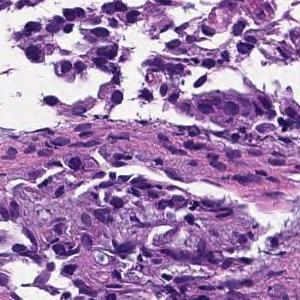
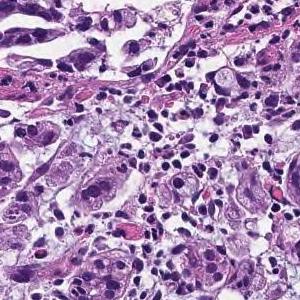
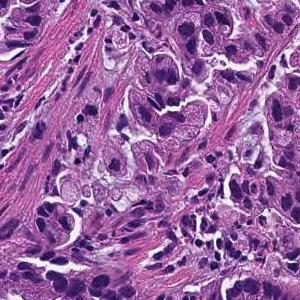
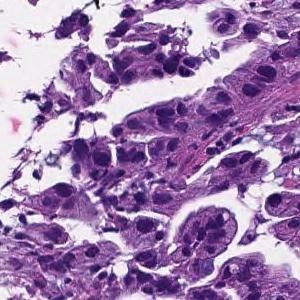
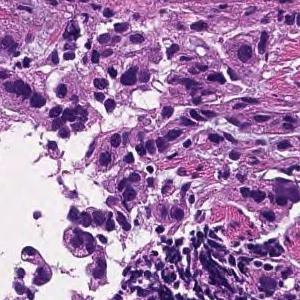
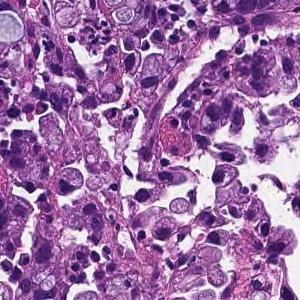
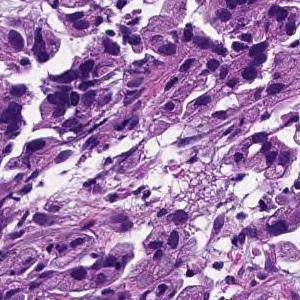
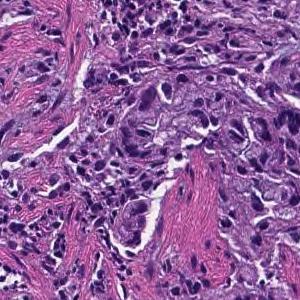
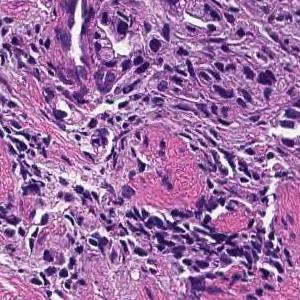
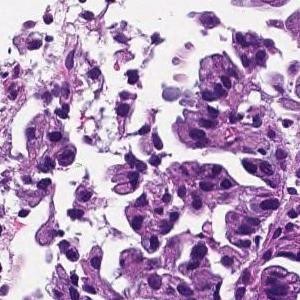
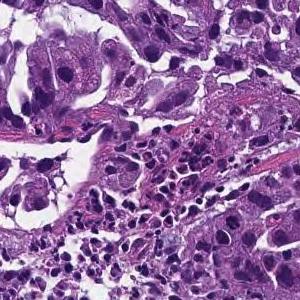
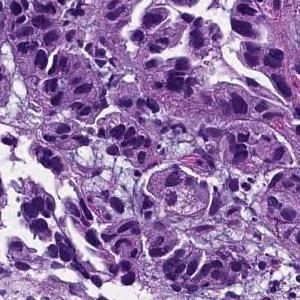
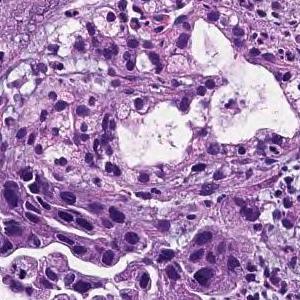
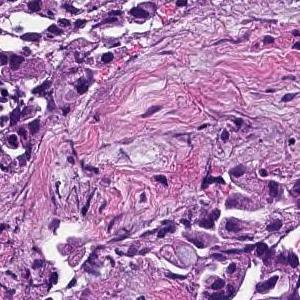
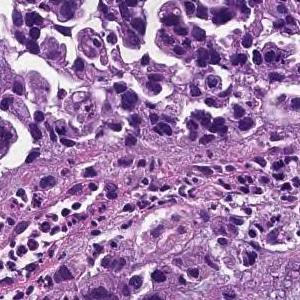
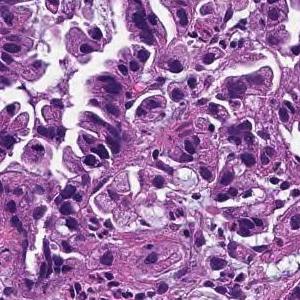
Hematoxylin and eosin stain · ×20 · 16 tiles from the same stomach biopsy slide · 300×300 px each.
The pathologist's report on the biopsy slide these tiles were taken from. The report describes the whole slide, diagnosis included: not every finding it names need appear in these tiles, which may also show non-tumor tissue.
Tumor tissue consisting of medium-sized, cord-like or irregular glandular infiltration is observed in the superficial epithelium. Poorly differentiated adenocarcinoma, non-solid type or moderately differentiated tubular adenocarcinoma
Histological subtype: Moderately to poorly differentiated adenocarcinoma.
"Non-solid type" is a category of the Japanese Classification of Gastric Carcinoma.
